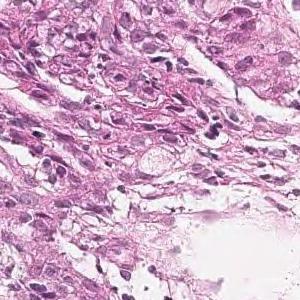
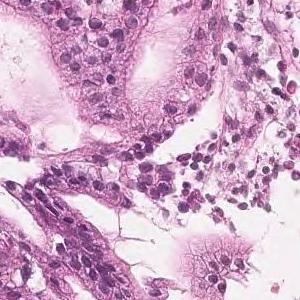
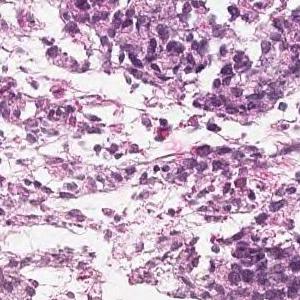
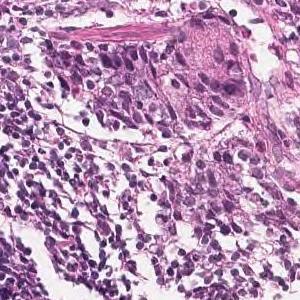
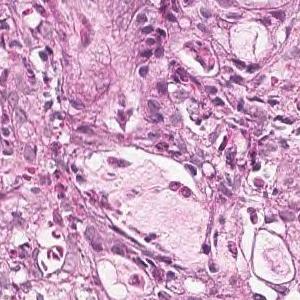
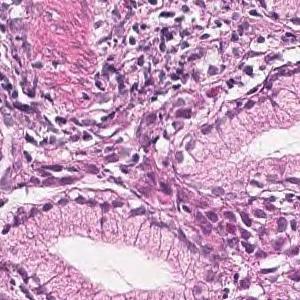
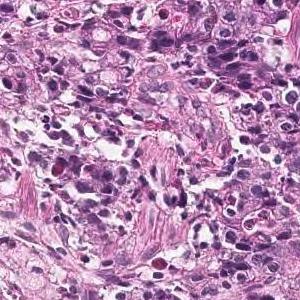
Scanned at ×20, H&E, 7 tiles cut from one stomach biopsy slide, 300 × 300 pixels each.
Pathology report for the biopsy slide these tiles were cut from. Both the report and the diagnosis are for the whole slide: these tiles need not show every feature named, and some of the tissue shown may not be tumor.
Tumor tissue consisting of medium-sized, cord-like or irregular glandular infiltration is observed in the superficial epithelium. Poorly differentiated adenocarcinoma, non-solid type or moderately differentiated tubular adenocarcinoma
The non-solid type named here is a Japanese Classification of Gastric Carcinoma category.
